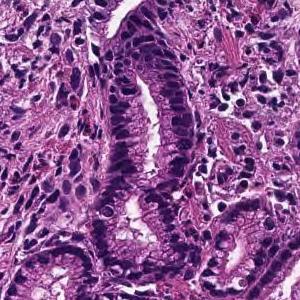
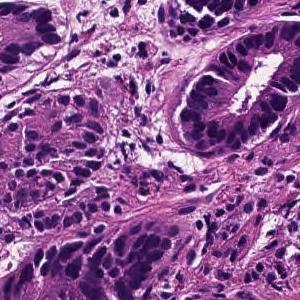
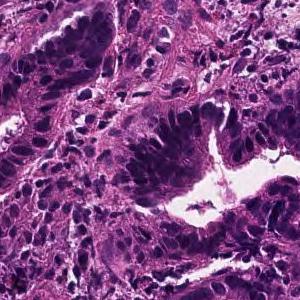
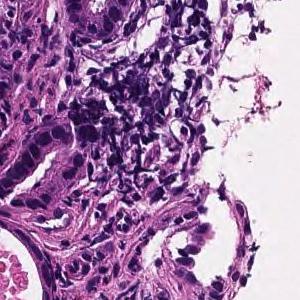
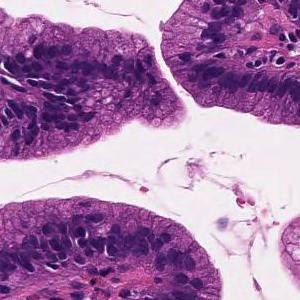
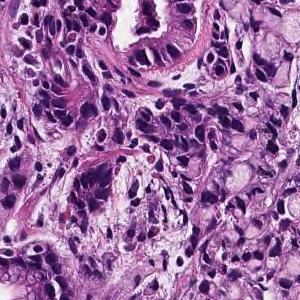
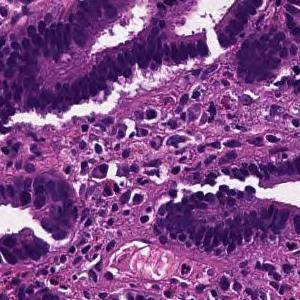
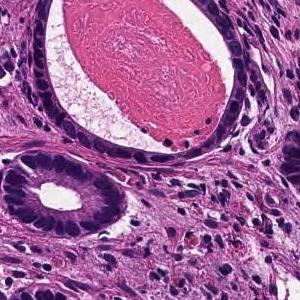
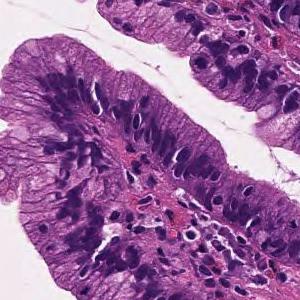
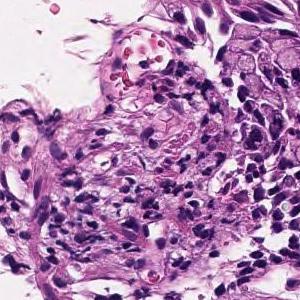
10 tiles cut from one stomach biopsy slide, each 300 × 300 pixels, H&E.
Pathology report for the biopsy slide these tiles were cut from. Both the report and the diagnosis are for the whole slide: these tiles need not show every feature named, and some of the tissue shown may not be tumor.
On the superficial epithelium, tumor tissue consisting of medium-sized and irregular glandular ducts partially fused and infiltrated is observed. Well to moderately differentiated tubular adenocarcinoma (well differentiated tubular adenocarcinoma-moderately differentiated tubular adenocarcinoma)
Classified as well to moderately differentiated tubular adenocarcinoma.
